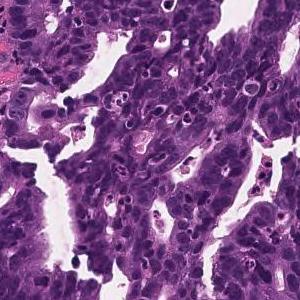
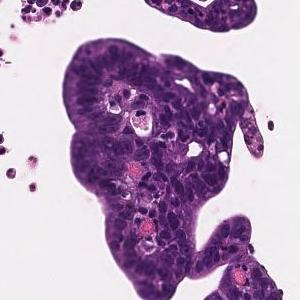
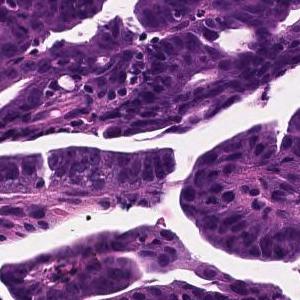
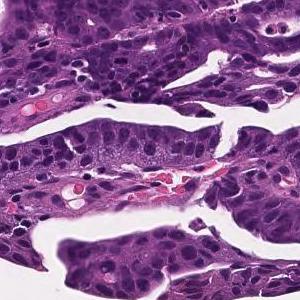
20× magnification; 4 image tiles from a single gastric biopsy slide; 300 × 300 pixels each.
Diagnostic report for the slide these tiles come from. The report and the diagnosis describe the slide as a whole, so these tiles may not show every feature named and may include non-tumor tissue.
Tumor cells are large, highly columnar, large club-shaped nuclei, and are associated with chromatin aggregation. Papillary adenocarcinoma.
